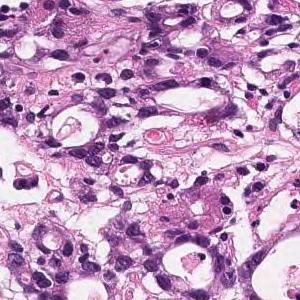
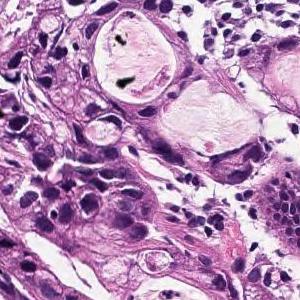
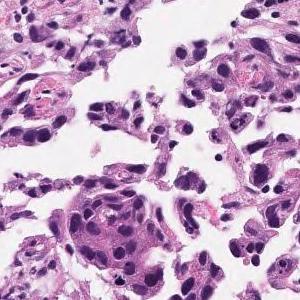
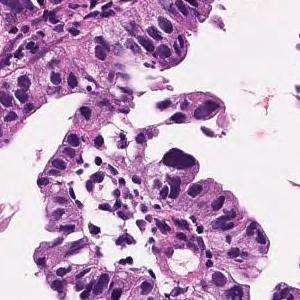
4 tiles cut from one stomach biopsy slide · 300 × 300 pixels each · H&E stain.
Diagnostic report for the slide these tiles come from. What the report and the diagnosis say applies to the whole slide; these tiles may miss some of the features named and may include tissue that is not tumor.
In the superficial epithelium, tumor tissue that invades by forming medium-sized to small, irregular ducts is observed. Moderately differentiated adenocarcinoma.
Subtype: Moderately differentiated tubular adenocarcinoma.
